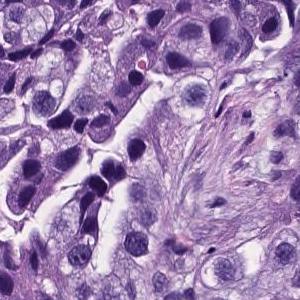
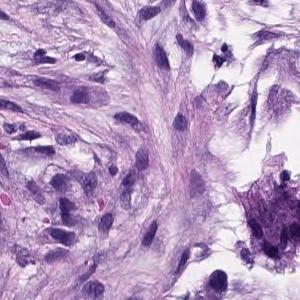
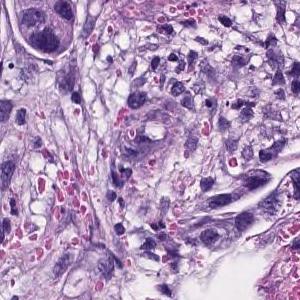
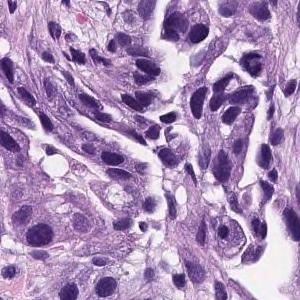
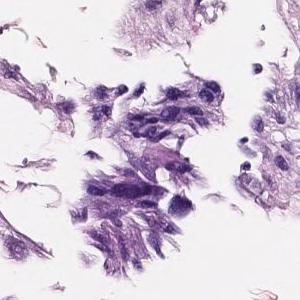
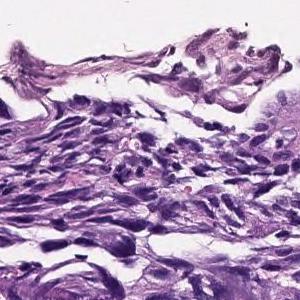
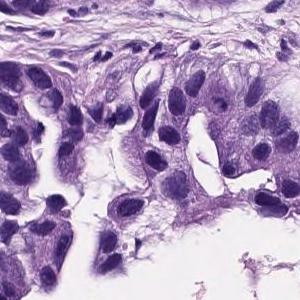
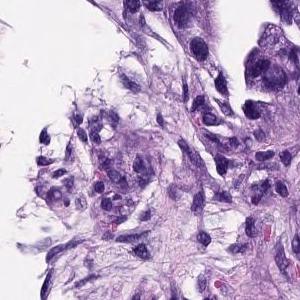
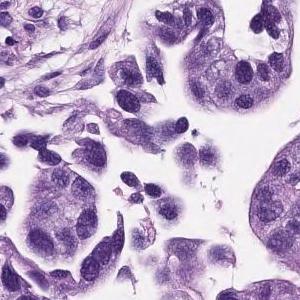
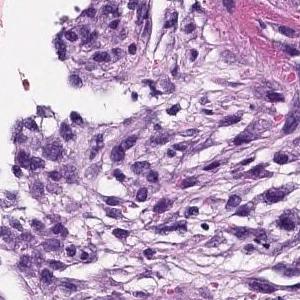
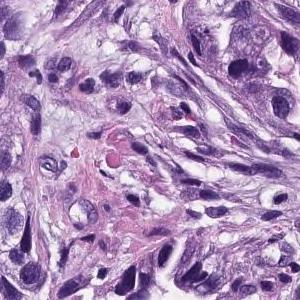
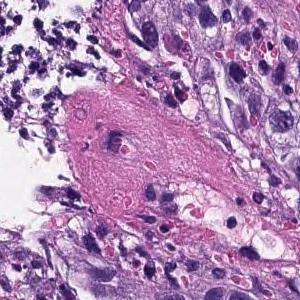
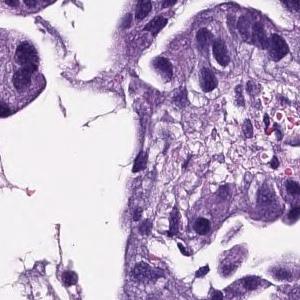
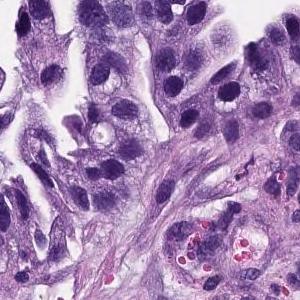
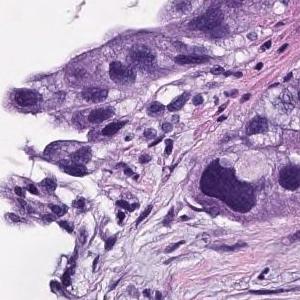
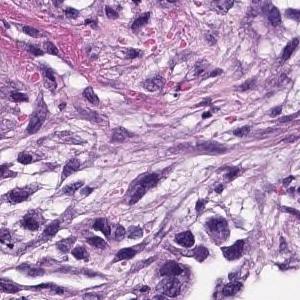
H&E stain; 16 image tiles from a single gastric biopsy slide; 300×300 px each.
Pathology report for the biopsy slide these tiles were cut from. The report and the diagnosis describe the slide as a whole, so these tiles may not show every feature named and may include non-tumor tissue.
gastric mucosal tissue with atypical glandular proliferation arranged in tubules and acini. The tumor cells showed hyperchromatic nuclei, high N/C ratio and loss of polarity. Tubular adenocarcinoma of stomach, moderately differentiated.
Subtype: Moderately differentiated tubular adenocarcinoma.
